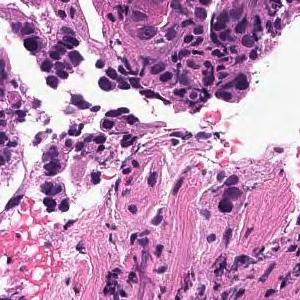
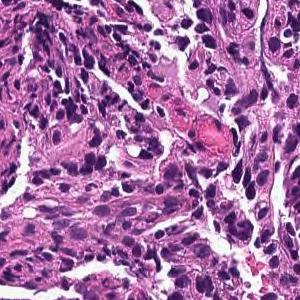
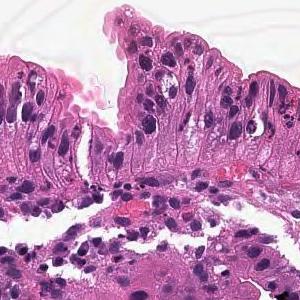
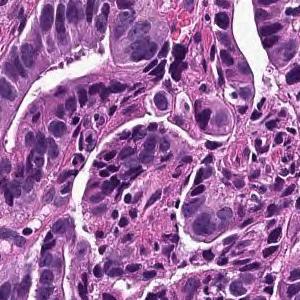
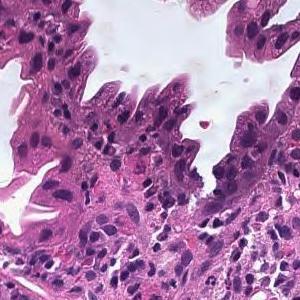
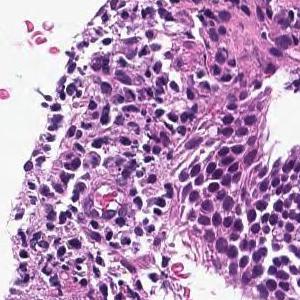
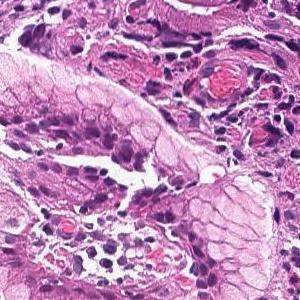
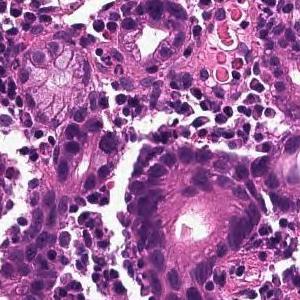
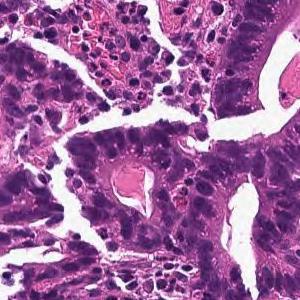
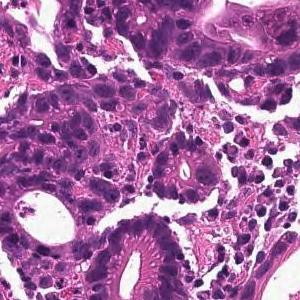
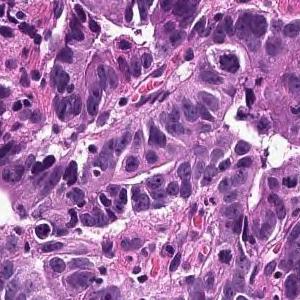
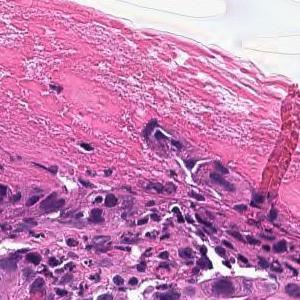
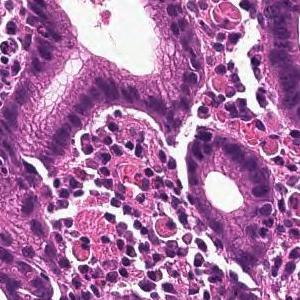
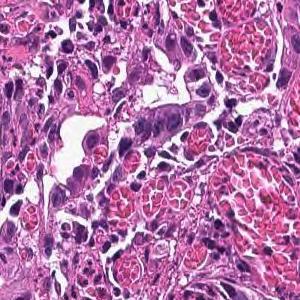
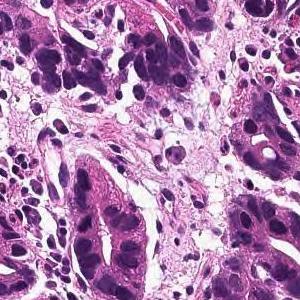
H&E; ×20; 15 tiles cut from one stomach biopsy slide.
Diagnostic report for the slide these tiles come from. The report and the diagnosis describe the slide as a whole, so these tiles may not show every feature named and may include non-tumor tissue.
On the superficial epithelium, tumor tissue consisting of large, irregular glandular ducts partially fused and infiltrated is observed. Well to moderately differentiated tubular adenocarcinoma (well differentiated tubular adenocarcinoma, moderately differentiated tubular adenocarcinoma)
Histologic type: Well to moderately differentiated tubular adenocarcinoma.
